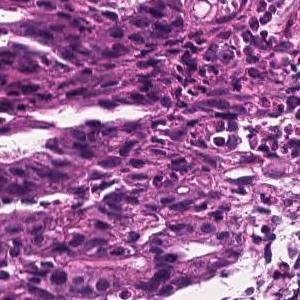
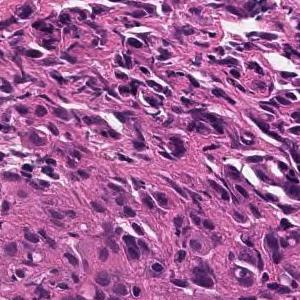
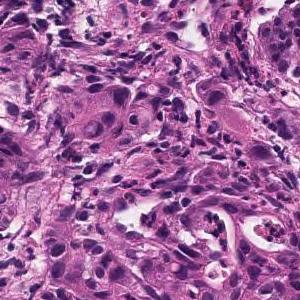
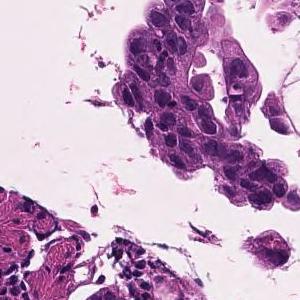
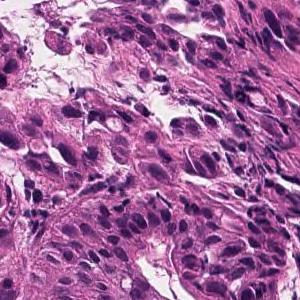
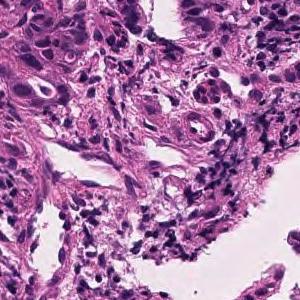
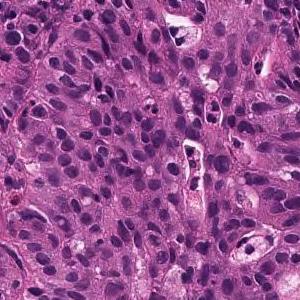
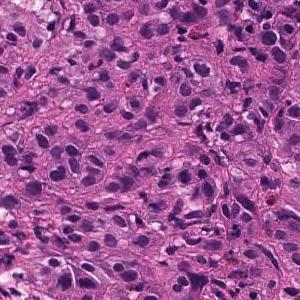
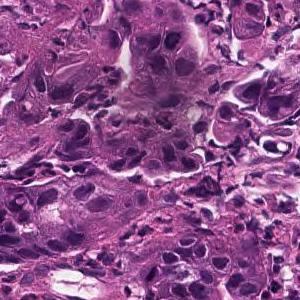
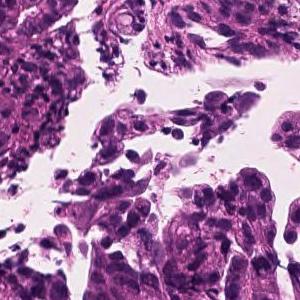
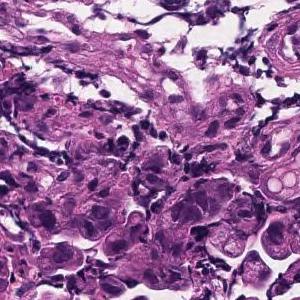
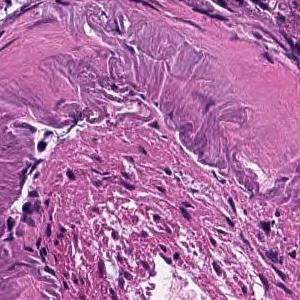
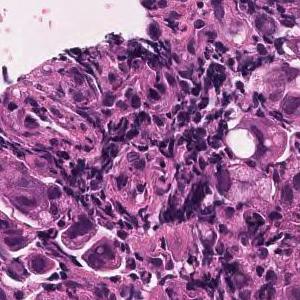
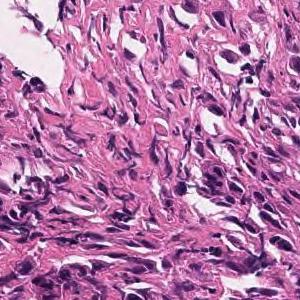
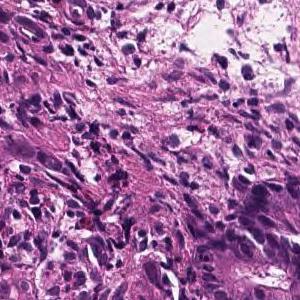
15 tiles from the same stomach biopsy slide, 300×300 px each, hematoxylin and eosin stain.
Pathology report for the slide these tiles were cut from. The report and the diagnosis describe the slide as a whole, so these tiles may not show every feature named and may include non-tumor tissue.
Tumor tissue consisting of medium-sized, cord-like or irregular glandular infiltration is observed in the superficial epithelium. Poorly differentiated adenocarcinoma, non-solid type or moderately differentiated tubular adenocarcinoma
"Non-solid type" is a category of the Japanese Classification of Gastric Carcinoma.
